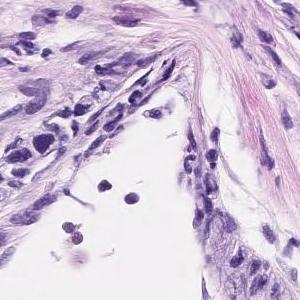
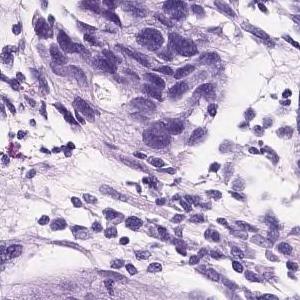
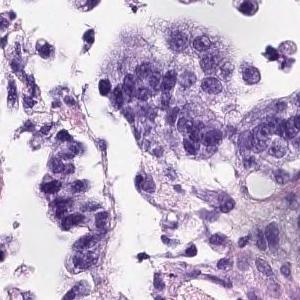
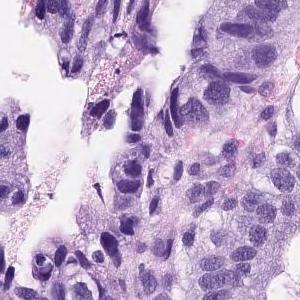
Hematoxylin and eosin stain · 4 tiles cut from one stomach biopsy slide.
Pathology report for the biopsy slide these tiles were cut from. The report describes the whole slide, diagnosis included: not every finding it names need appear in these tiles, which may also show non-tumor tissue.
On the superficial epithelium, tumor tissue consisting of medium to small irregular tubules partially fused and proliferated is observed. moderately differentiated tubular adenocarcinoma
